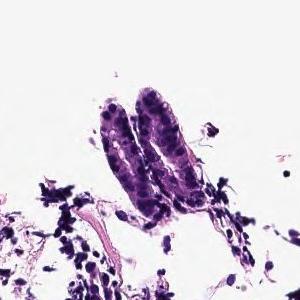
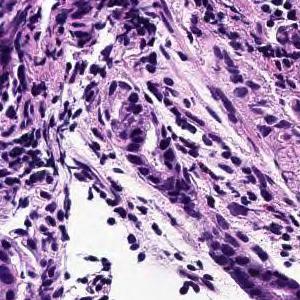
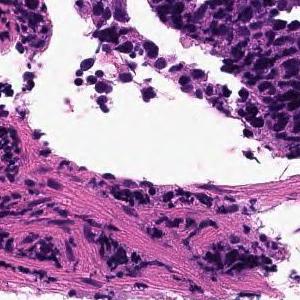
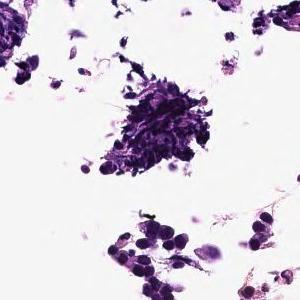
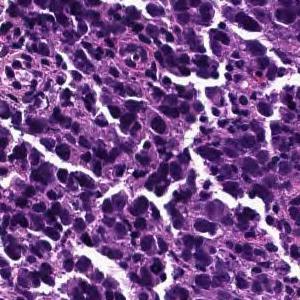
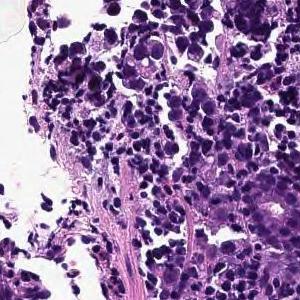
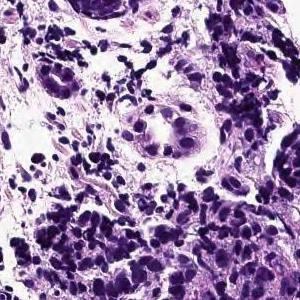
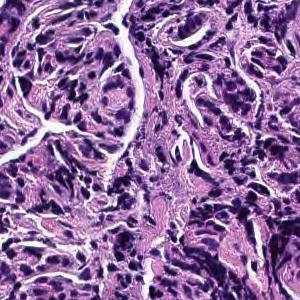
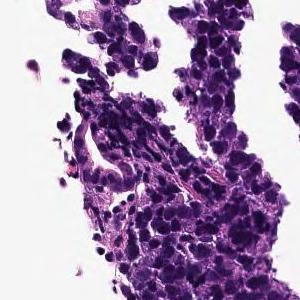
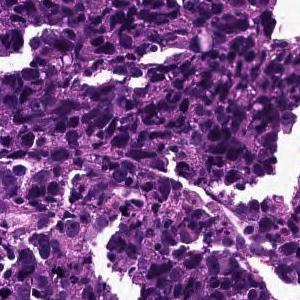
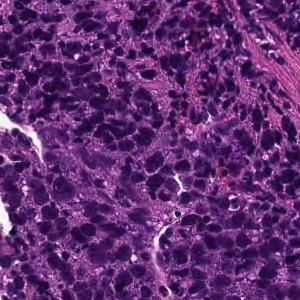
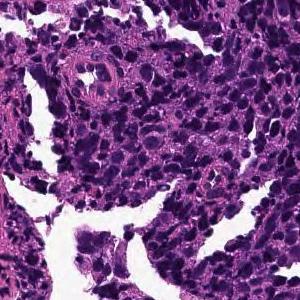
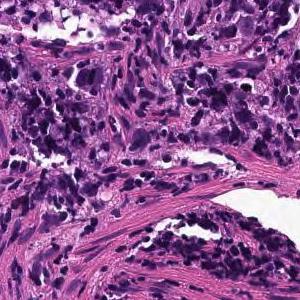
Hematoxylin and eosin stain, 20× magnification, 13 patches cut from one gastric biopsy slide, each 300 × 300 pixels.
The pathologist's report on the biopsy slide these tiles were taken from. The report and the diagnosis cover the entire slide, so not every feature they name need be visible here, and some tissue shown may not be tumor.
The superficial epithelium shows large alveolar or sheet-like forms, and some tumor tissue infiltrates with small irregular ducts. Poorly differentiated adenocarcinoma, solid-type
Histologic type: Poorly differentiated adenocarcinoma, solid type, a category of the Japanese Classification of Gastric Carcinoma; in the WHO 2019 classification it is tubular adenocarcinoma, poorly differentiated.
